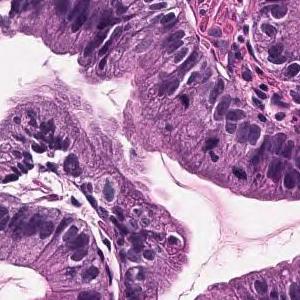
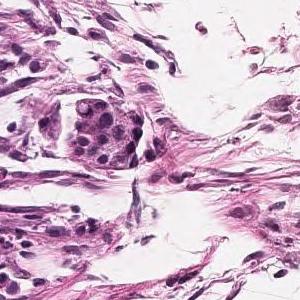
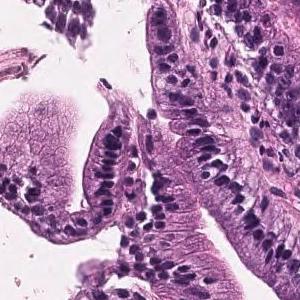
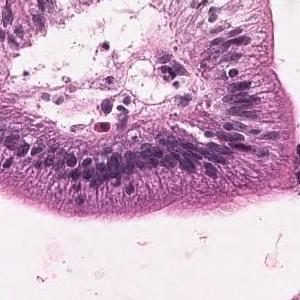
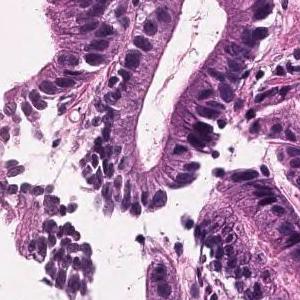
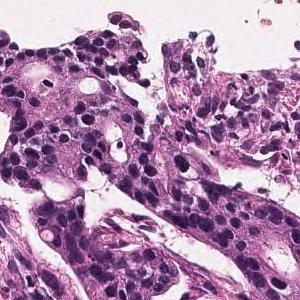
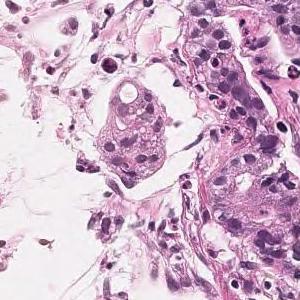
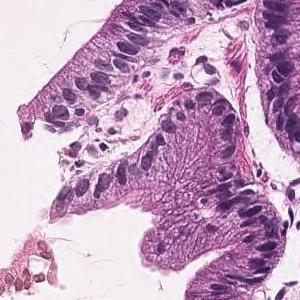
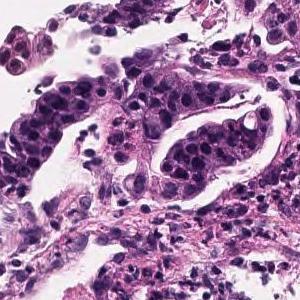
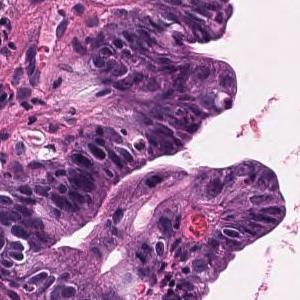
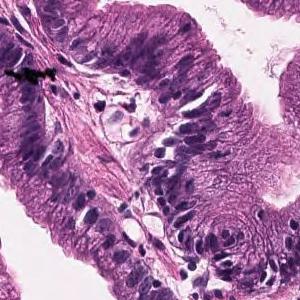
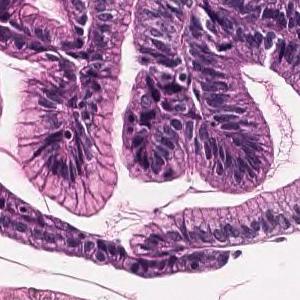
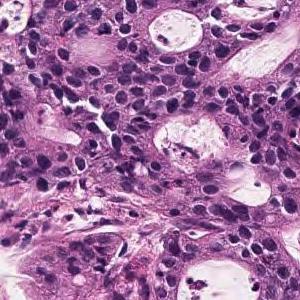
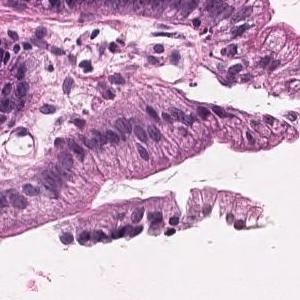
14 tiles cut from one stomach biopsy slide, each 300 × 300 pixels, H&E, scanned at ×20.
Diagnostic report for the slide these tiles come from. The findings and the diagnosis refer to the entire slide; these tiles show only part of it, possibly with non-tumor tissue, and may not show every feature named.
Tumor tissue that grows invasively while the short atypical epithelium forms small ducts is observed. moderately differentiated tubular adenocarcinoma
